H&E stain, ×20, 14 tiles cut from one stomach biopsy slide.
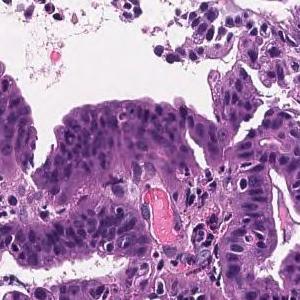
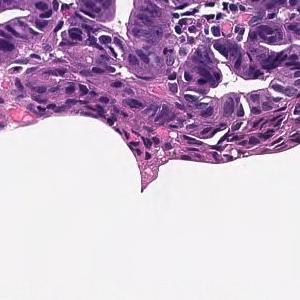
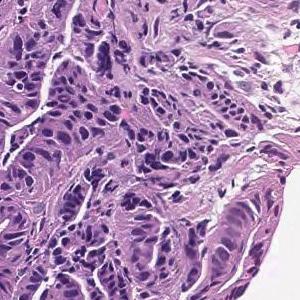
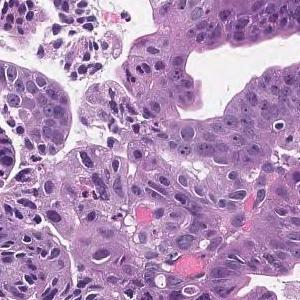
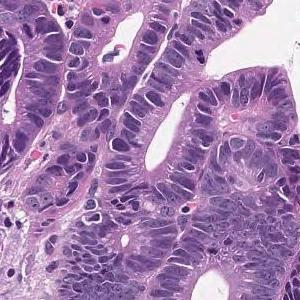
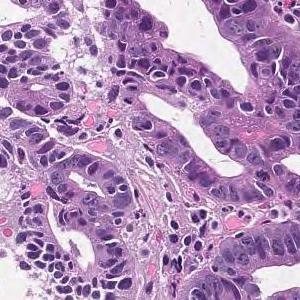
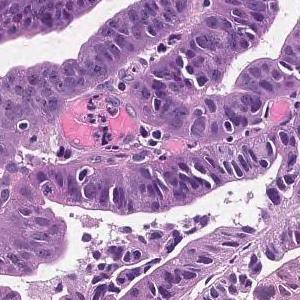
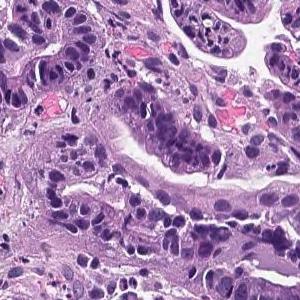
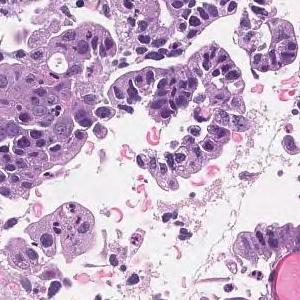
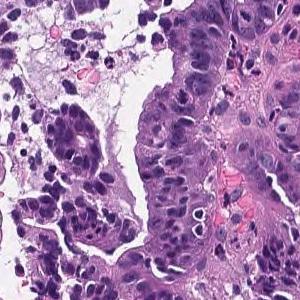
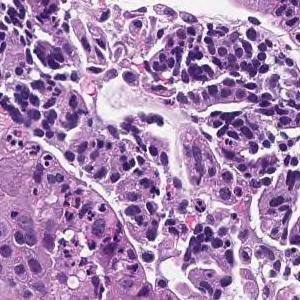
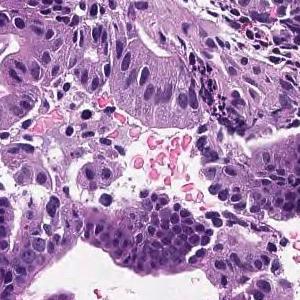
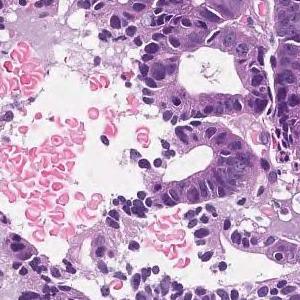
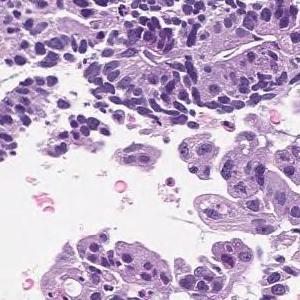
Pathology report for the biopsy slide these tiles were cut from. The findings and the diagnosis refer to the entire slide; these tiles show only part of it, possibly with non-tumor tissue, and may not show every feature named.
Tumor cells are large, highly columnar, large club-shaped nuclei, and are associated with chromatin aggregation. Papillary adenocarcinoma.
